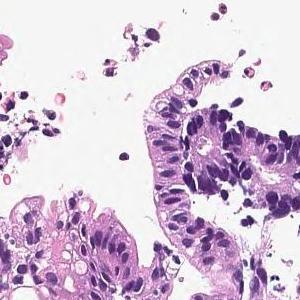
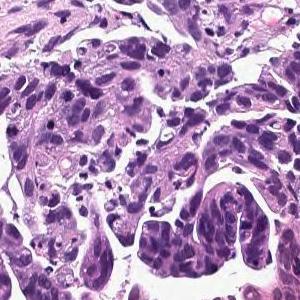
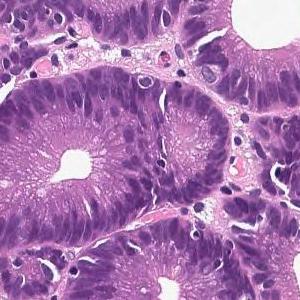
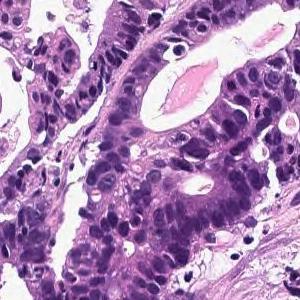
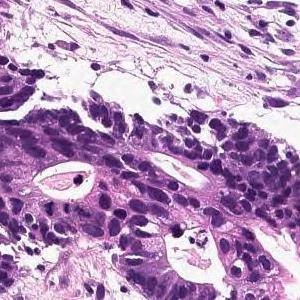
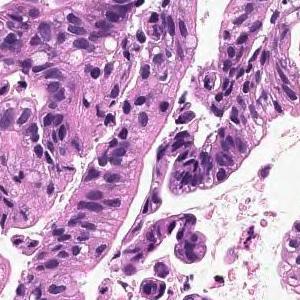
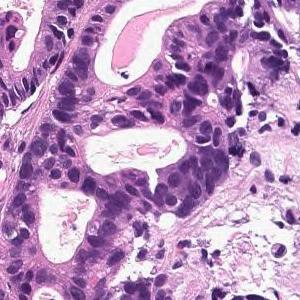
7 tiles from the same stomach biopsy slide; 300 × 300 pixels each; H&E.
The pathologist's report on the biopsy slide these tiles were taken from. Both the report and the diagnosis are for the whole slide: these tiles need not show every feature named, and some of the tissue shown may not be tumor.
In the superficial epithelium, tumor tissue that invades by forming medium-sized to small, irregular ducts is observed. moderately differentiated tubular adenocarcinoma.
